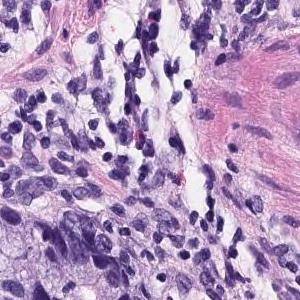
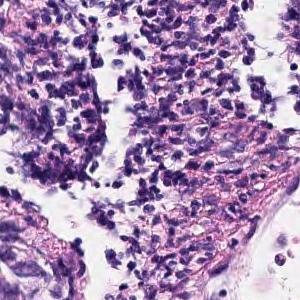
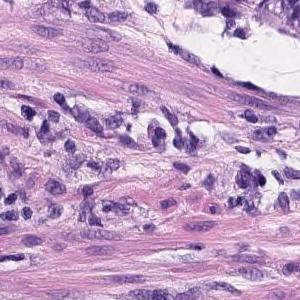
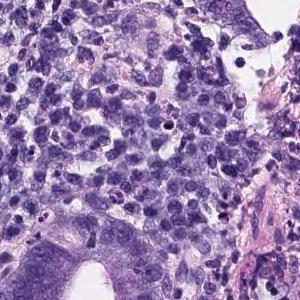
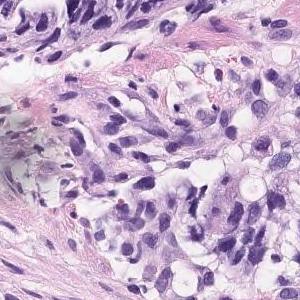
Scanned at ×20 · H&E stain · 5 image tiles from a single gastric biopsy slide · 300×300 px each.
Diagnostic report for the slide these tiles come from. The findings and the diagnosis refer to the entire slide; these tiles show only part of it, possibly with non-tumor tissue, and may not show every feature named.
On the superficial epithelium, tumor tissue consisting of medium to small irregular tubules partially fused and proliferated is observed. moderately differentiated tubular adenocarcinoma
